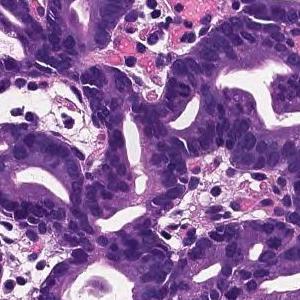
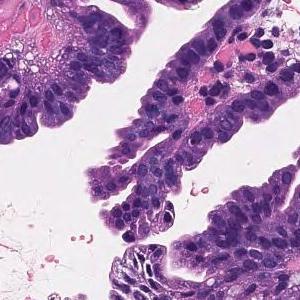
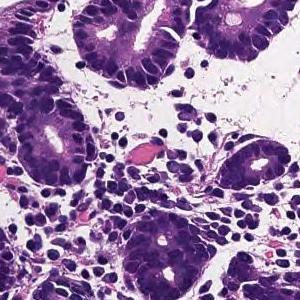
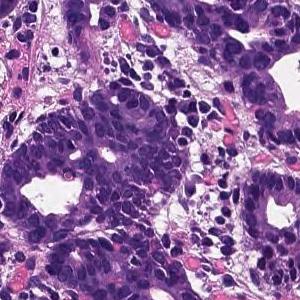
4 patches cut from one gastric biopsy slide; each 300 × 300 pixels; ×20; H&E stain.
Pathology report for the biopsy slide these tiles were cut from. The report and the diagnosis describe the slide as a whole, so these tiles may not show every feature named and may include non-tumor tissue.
On the superficial epithelium, tumor tissue is found in which medium-sized irregular gland ducts fuse with each other and infiltrate. moderately differentiated tubular adenocarcinoma
